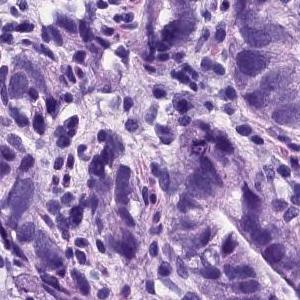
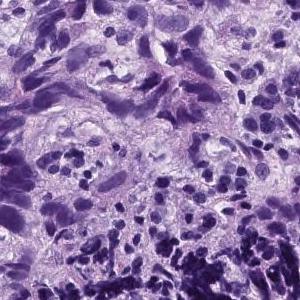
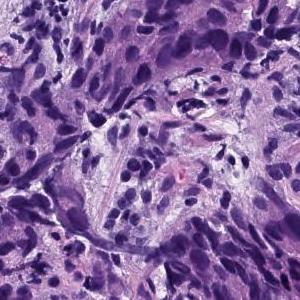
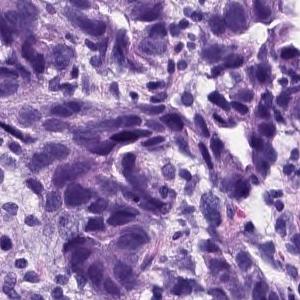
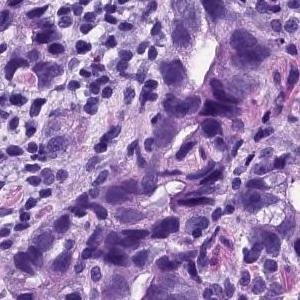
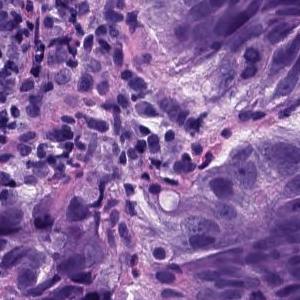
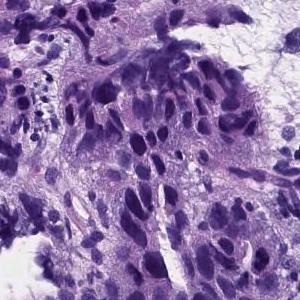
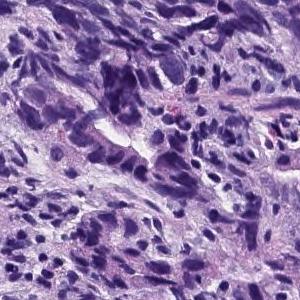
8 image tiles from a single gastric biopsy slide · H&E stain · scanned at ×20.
Pathology report for the biopsy slide these tiles were cut from. The report describes the whole slide, diagnosis included: not every finding it names need appear in these tiles, which may also show non-tumor tissue.
In the superficial epithelium, tumor tissue that invades by forming medium-sized to small, irregular ducts is observed. Moderately differentiated adenocarcinoma.
Subtype: Moderately differentiated tubular adenocarcinoma.
